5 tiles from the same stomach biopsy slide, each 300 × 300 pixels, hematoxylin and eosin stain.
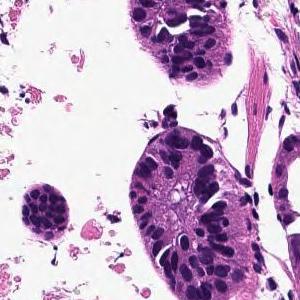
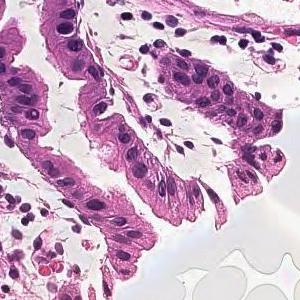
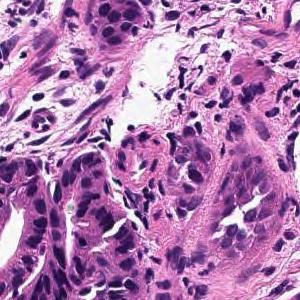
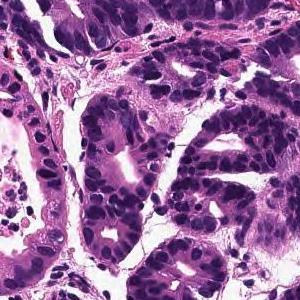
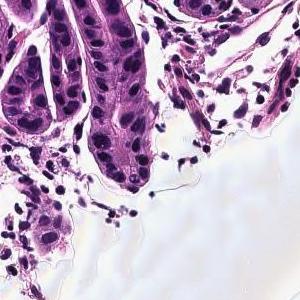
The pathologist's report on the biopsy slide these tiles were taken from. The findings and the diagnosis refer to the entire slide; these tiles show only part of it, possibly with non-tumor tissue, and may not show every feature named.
From the superficial epithelium to the muscularis mucosae, tumor tissue consisting of medium-sized and irregular glandular ducts infiltrating is observed. Well differentiated tubular adenocarcinoma
